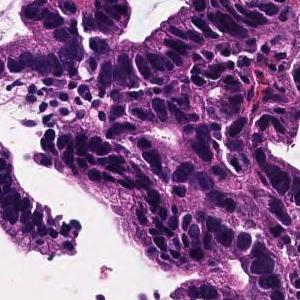
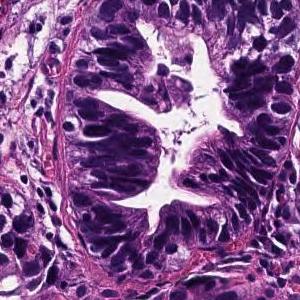
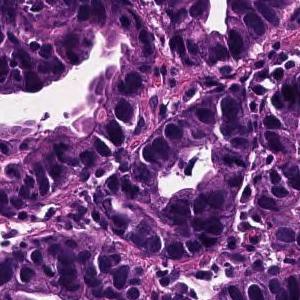
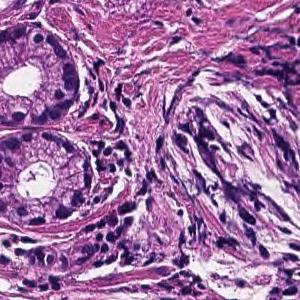
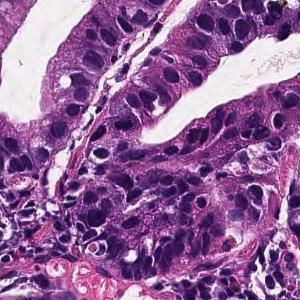
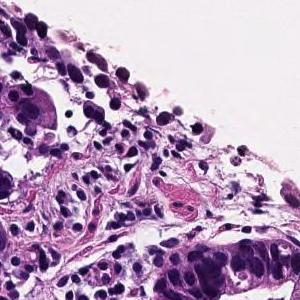
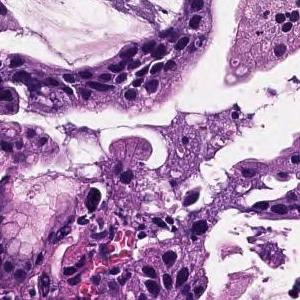
Hematoxylin and eosin stain · scanned at ×20 · 7 tiles from the same stomach biopsy slide · each 300 × 300 pixels.
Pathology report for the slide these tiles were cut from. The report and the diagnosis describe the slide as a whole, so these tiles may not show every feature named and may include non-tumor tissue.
Tumor cells are large, highly columnar, large club-shaped nuclei, and are associated with chromatin aggregation. Papillary adenocarcinoma.
